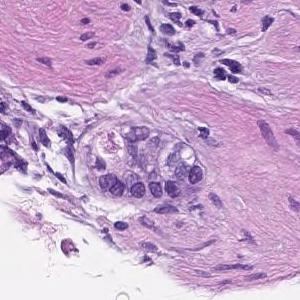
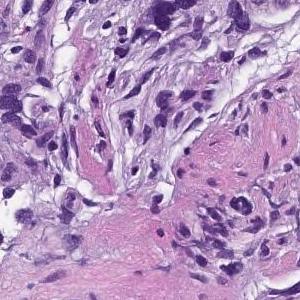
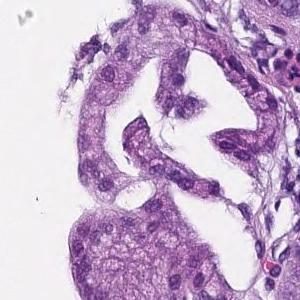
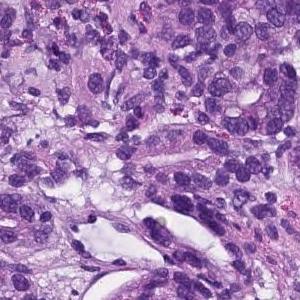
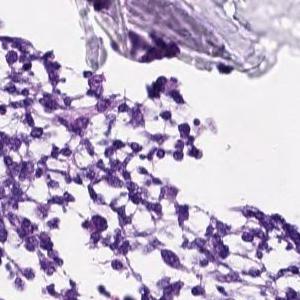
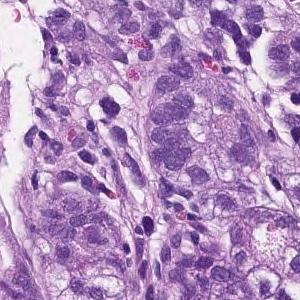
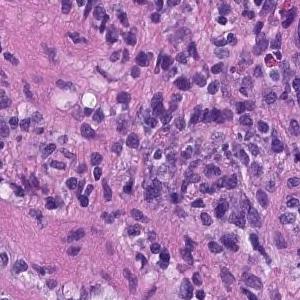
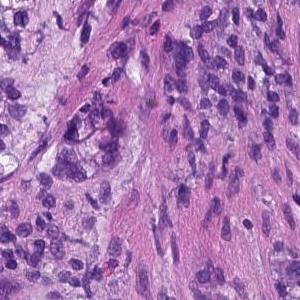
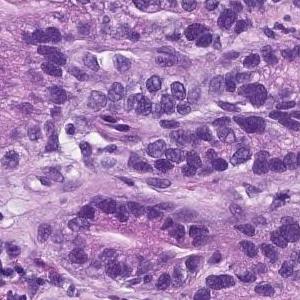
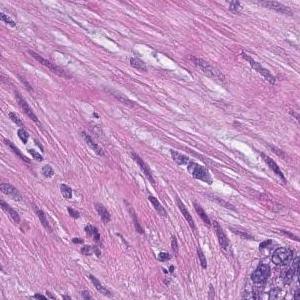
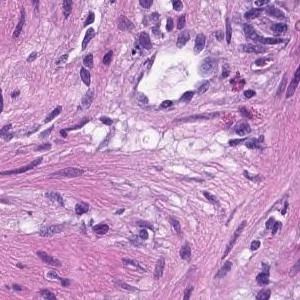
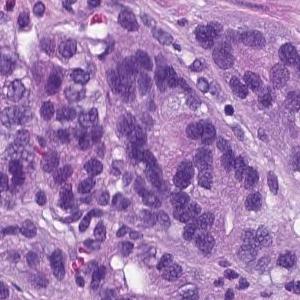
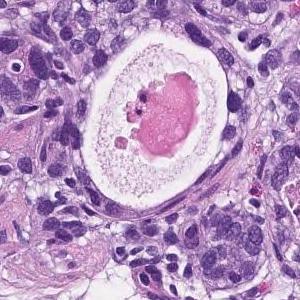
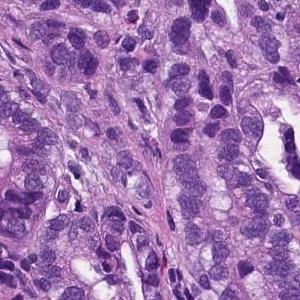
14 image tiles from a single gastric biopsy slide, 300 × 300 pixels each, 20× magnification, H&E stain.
Pathology report for the biopsy slide these tiles were cut from. The report and the diagnosis describe the slide as a whole, so these tiles may not show every feature named and may include non-tumor tissue.
From the superficial epithelium to the muscularis mucosae, tumor tissue consisting of medium-sized and irregular glandular ducts infiltrating is observed. Well differentiated tubular adenocarcinoma
